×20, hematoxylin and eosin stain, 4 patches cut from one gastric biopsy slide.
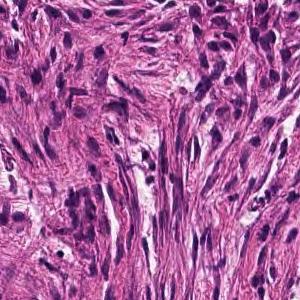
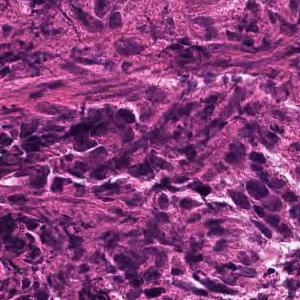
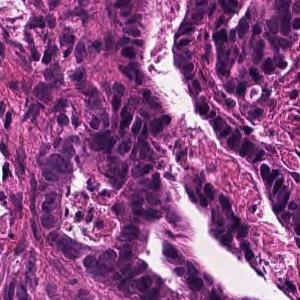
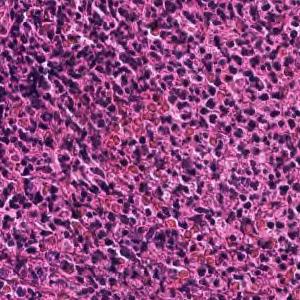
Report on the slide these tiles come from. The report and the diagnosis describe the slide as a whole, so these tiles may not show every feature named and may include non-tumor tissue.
In the superficial epithelium, tumor tissue that invades by forming medium-sized to small, irregular ducts is observed. moderately differentiated tubular adenocarcinoma.
